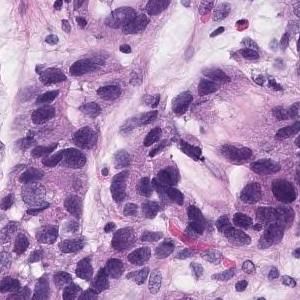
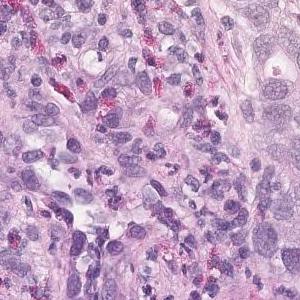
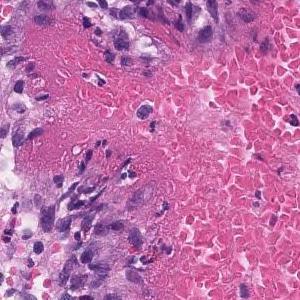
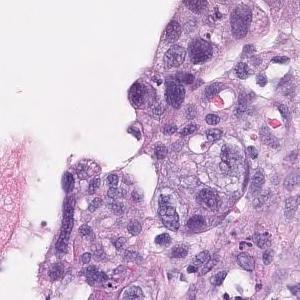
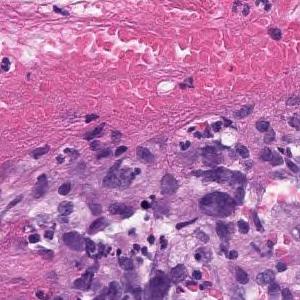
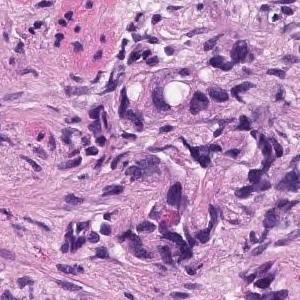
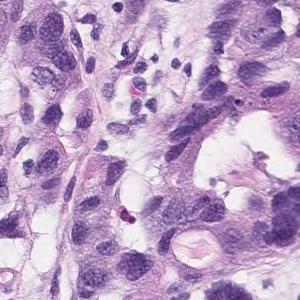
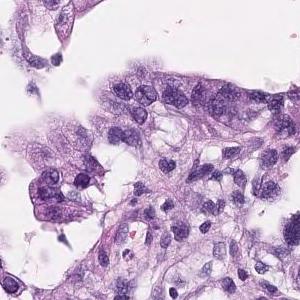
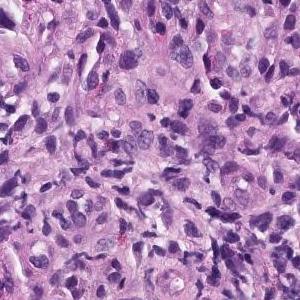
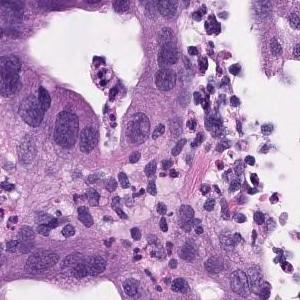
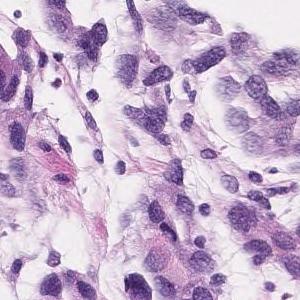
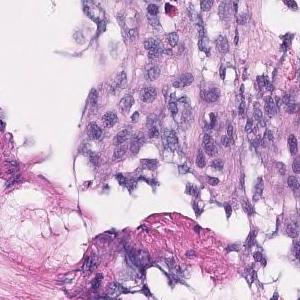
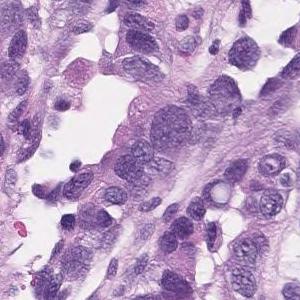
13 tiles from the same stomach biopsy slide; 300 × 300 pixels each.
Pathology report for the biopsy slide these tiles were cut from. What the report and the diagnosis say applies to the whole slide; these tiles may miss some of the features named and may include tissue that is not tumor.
Group 5, Adenocarcinoma. Moderately to poorly differentiated adenocarcinoma
